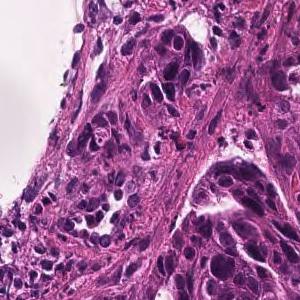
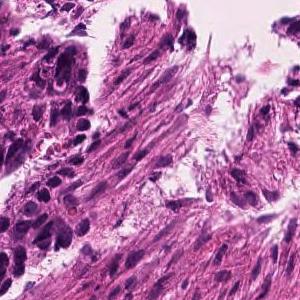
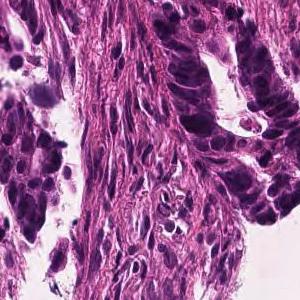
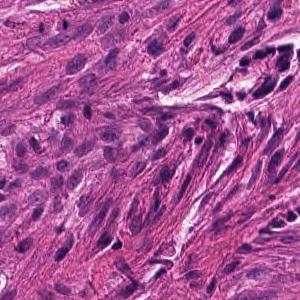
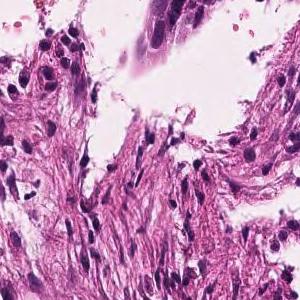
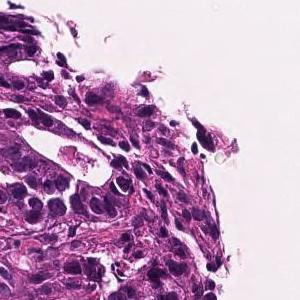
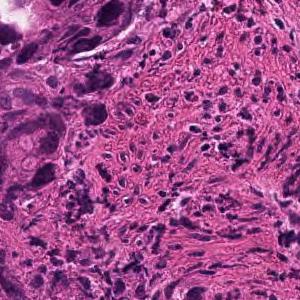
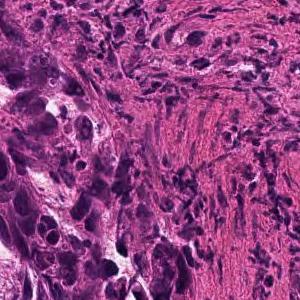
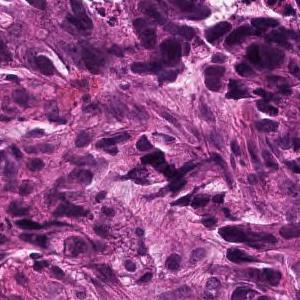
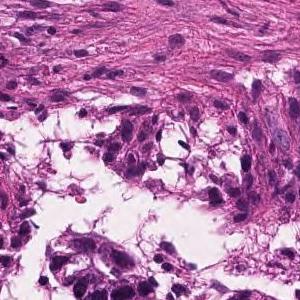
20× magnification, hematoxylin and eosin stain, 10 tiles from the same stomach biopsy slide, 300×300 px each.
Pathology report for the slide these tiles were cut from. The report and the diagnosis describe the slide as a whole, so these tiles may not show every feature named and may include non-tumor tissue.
In the superficial epithelium, tumor tissue that invades by forming medium-sized to small, irregular ducts is observed. moderately differentiated tubular adenocarcinoma.
